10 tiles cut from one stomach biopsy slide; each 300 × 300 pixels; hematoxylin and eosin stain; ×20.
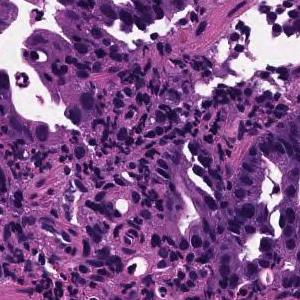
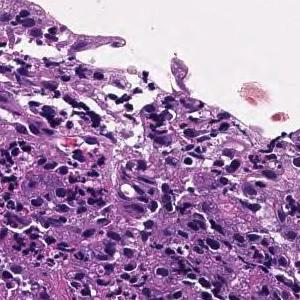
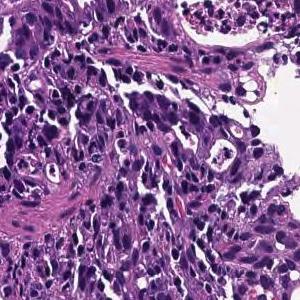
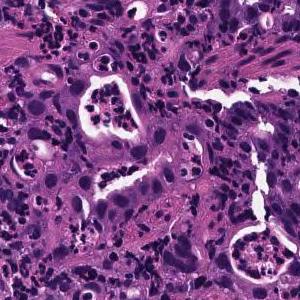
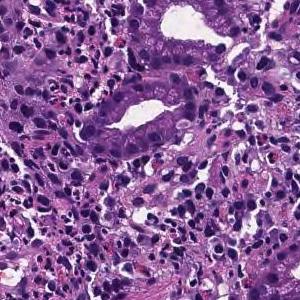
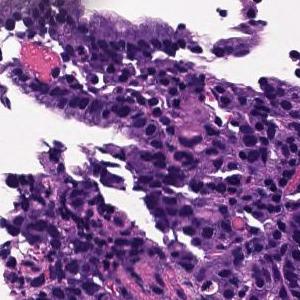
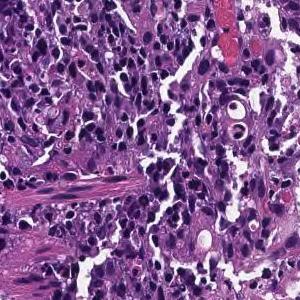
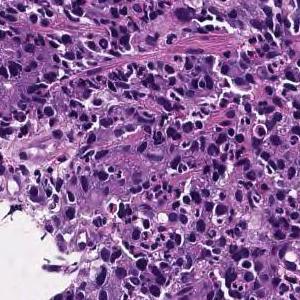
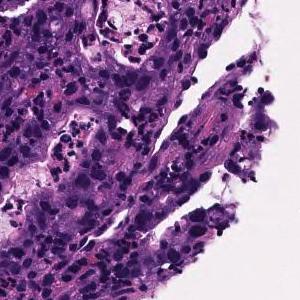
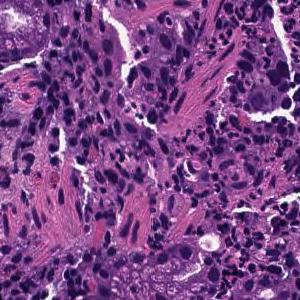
Pathology report for the slide these tiles were cut from. The findings and the diagnosis refer to the entire slide; these tiles show only part of it, possibly with non-tumor tissue, and may not show every feature named.
Medium to small, irregular glandular ducts are formed in the superficial epithelium, and in some cases, the glandular ducts are fused to show solid alveolar lesions and infiltrating tumor tissue is observed. Moderately to poorly differentiated adenocarcinoma.
